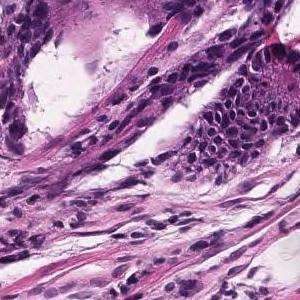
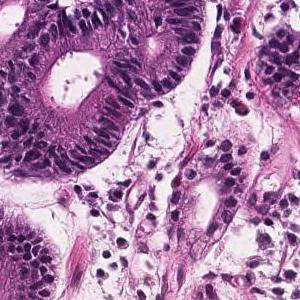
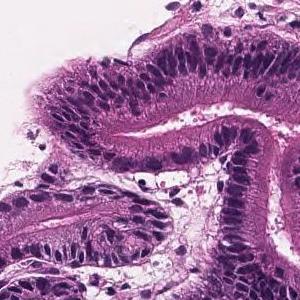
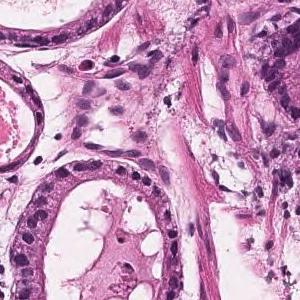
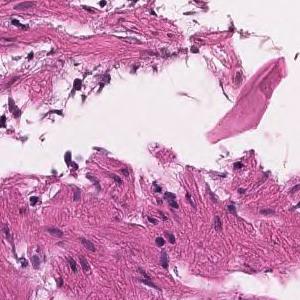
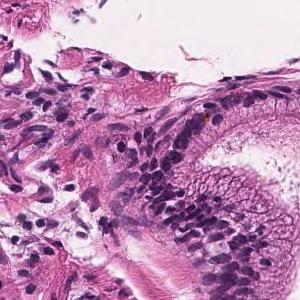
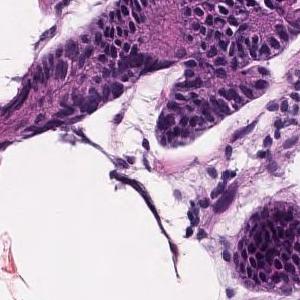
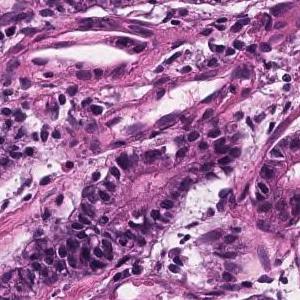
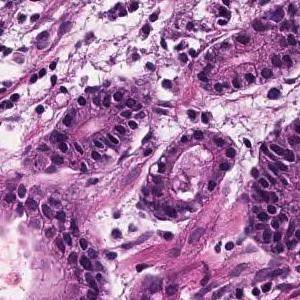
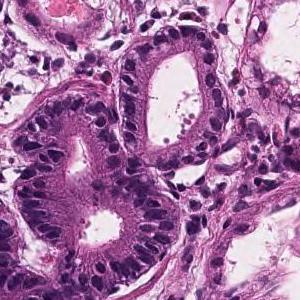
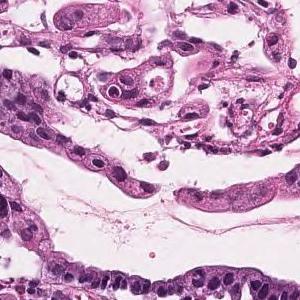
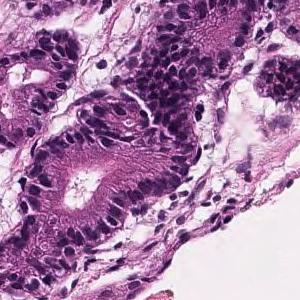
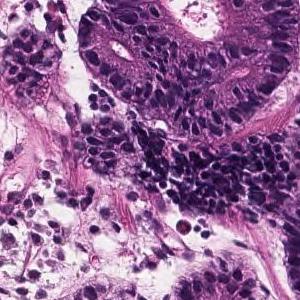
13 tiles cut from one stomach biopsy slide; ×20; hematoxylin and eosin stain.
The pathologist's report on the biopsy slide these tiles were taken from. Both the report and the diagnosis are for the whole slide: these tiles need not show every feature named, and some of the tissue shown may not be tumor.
Tumor tissue with atypical epithelium showing irregular ductal or sieving ductal structure and proliferating is observed. Well to moderately differentiated tubular adenocarcinoma (well differentiated tubular adenocarcinoma-moderately differentiated tubular adenocarcinoma)
Subtype: Well to moderately differentiated tubular adenocarcinoma.
